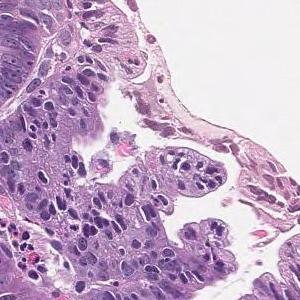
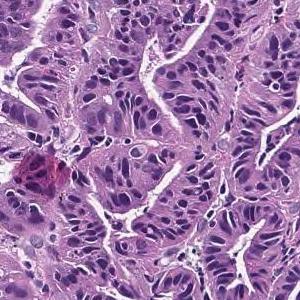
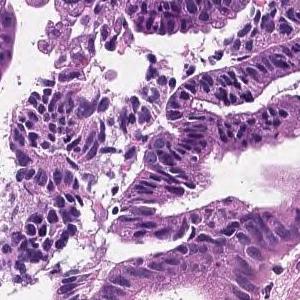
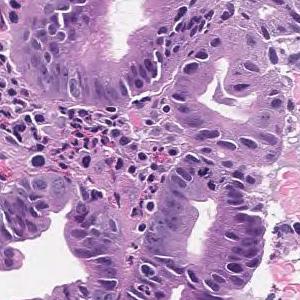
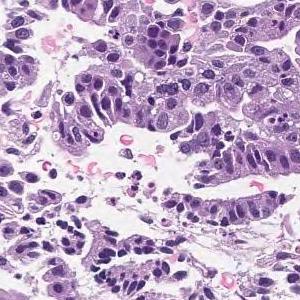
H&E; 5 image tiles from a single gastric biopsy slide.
Pathology report for the biopsy slide these tiles were cut from. The report describes the whole slide, diagnosis included: not every finding it names need appear in these tiles, which may also show non-tumor tissue.
Tumor cells are large, highly columnar, large club-shaped nuclei, and are associated with chromatin aggregation. Papillary adenocarcinoma.
